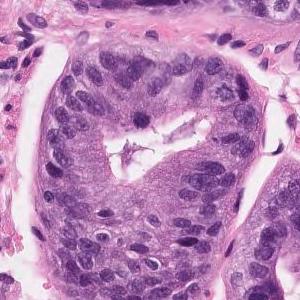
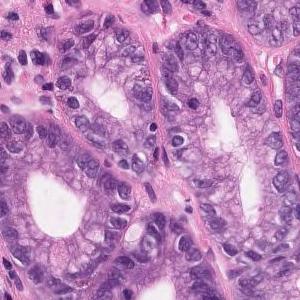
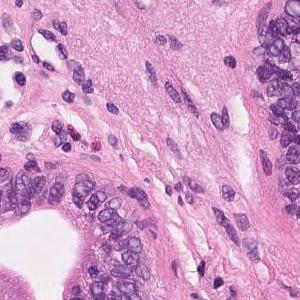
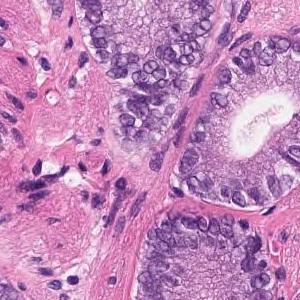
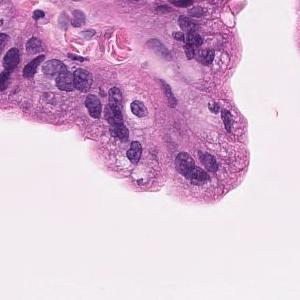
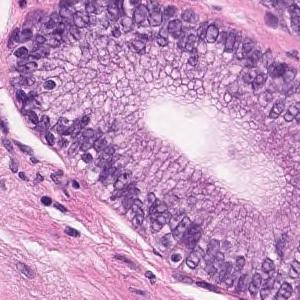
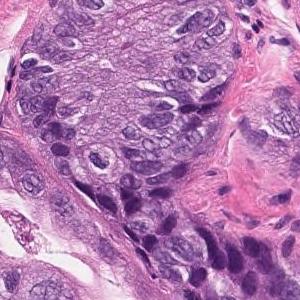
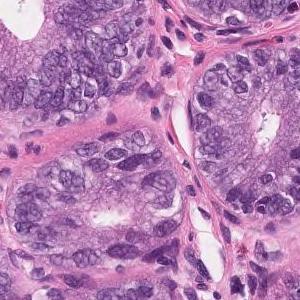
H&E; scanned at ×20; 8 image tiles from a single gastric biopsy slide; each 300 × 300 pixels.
The pathologist's report on the biopsy slide these tiles were taken from. The report and the diagnosis cover the entire slide, so not every feature they name need be visible here, and some tissue shown may not be tumor.
Atypical l cells with atypical nuclei forming irregular glandular ducts. Well differentiated tubuar adenocarcinoma (well differentiated tubular adenocarcinoma)
Tumor subtype: well differentiated tubular adenocarcinoma.
